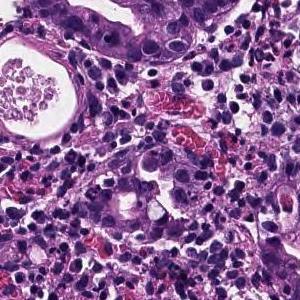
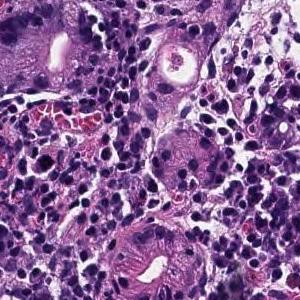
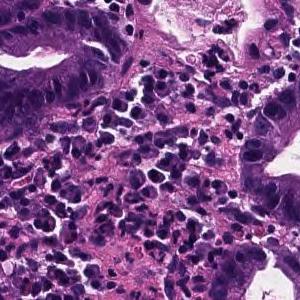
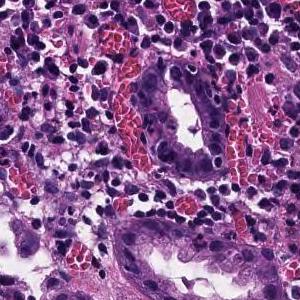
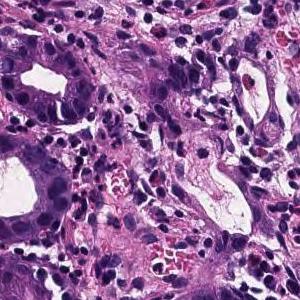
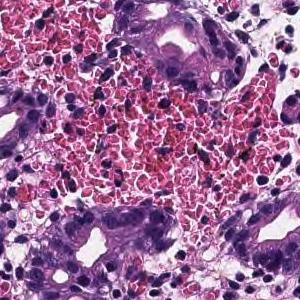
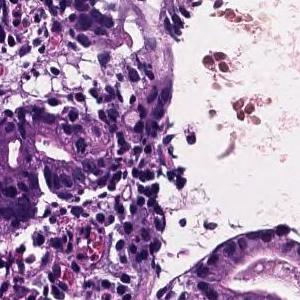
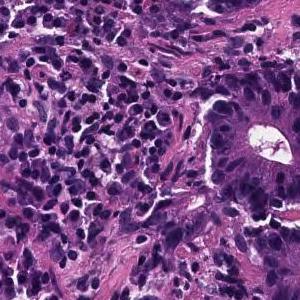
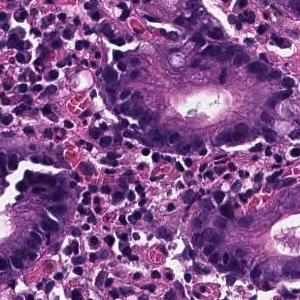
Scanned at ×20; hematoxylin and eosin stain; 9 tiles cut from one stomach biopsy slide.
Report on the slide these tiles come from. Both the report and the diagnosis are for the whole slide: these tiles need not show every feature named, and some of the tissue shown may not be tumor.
In the superficial epithelium, tumor tissue that invades by forming medium-sized to small, irregular ducts is observed. moderately differentiated tubular adenocarcinoma.
